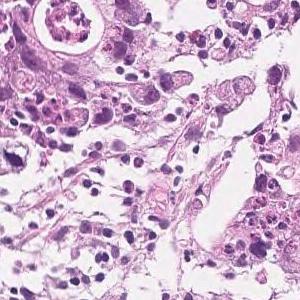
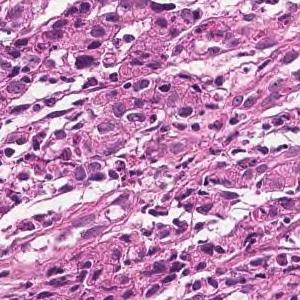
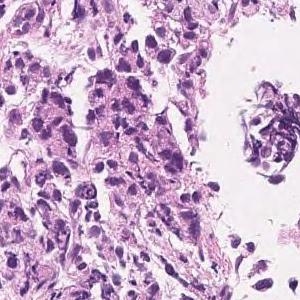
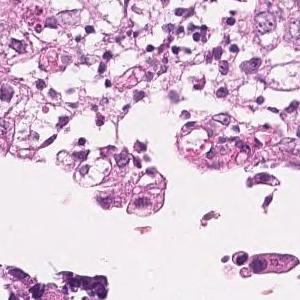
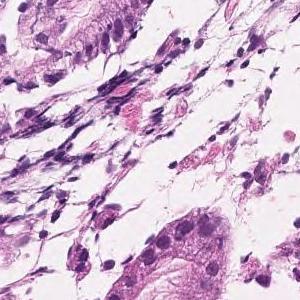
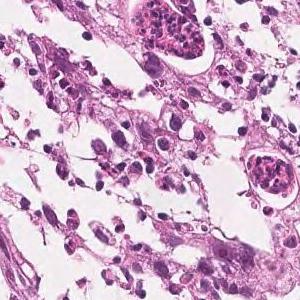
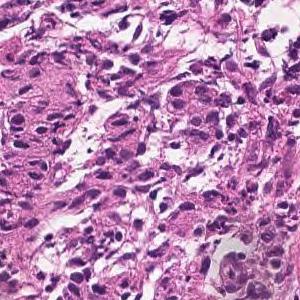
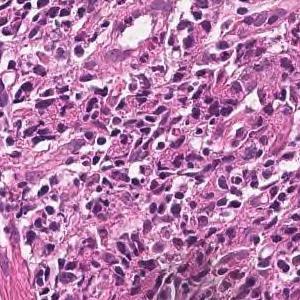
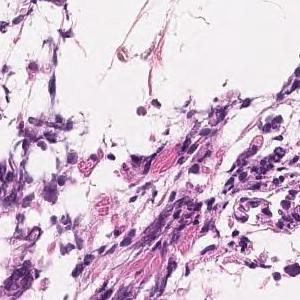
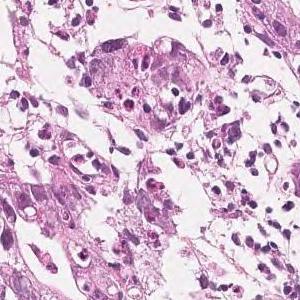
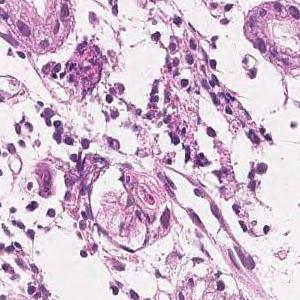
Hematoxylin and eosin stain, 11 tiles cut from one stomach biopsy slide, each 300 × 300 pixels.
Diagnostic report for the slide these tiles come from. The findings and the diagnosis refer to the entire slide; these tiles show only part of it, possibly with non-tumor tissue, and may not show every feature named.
In the superficial epithelium, medium to small, irregular glandular ducts are formed, and in some parts, the glandular ducts are fused, and in other parts, small cord-like infiltrating tumor tissue is observed. Moderately to poorly differentiated adenocarcinoma.
